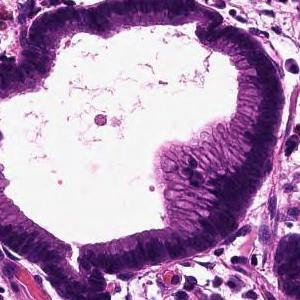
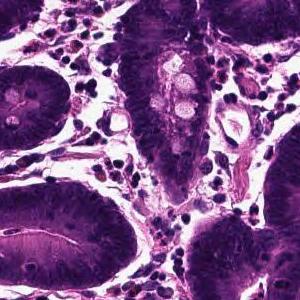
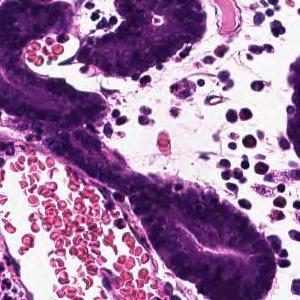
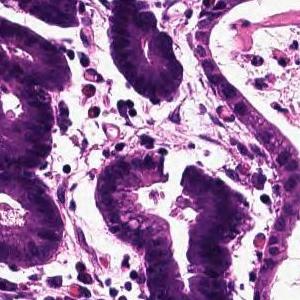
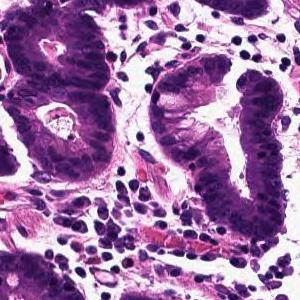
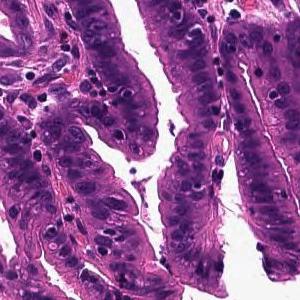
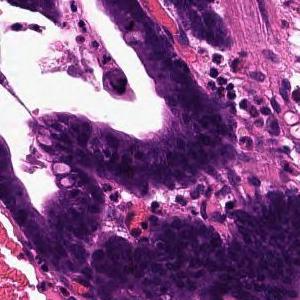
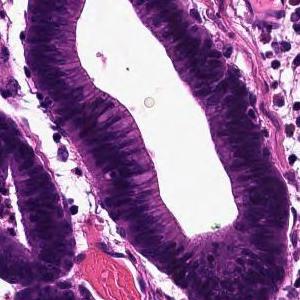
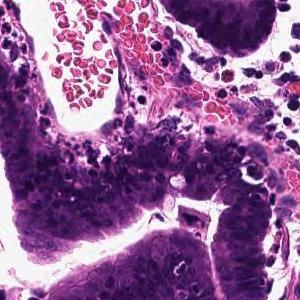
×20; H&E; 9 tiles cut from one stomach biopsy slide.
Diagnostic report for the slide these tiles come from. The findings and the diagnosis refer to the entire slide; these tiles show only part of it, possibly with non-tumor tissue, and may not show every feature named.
Tumor tissue that infiltrates by forming large papillary or large irregular glandular ducts is observed confined to the mucosa. Papillary adenocarcinoma
